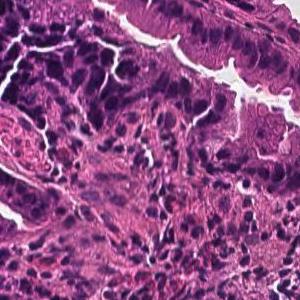
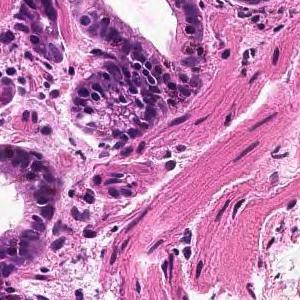
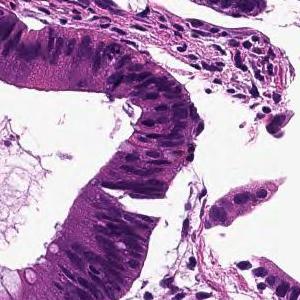
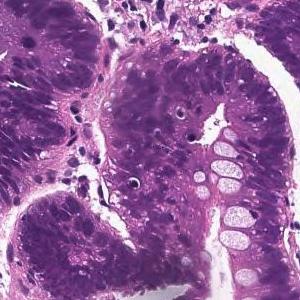
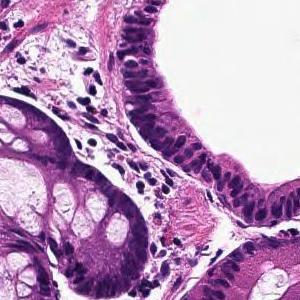
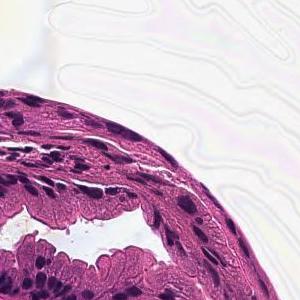
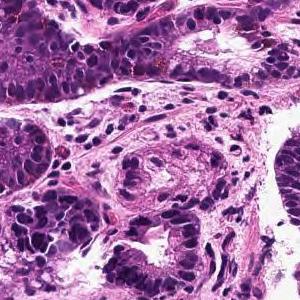
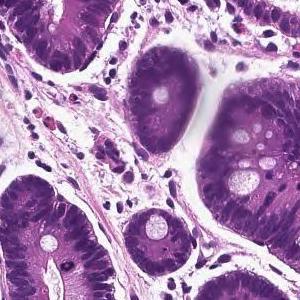
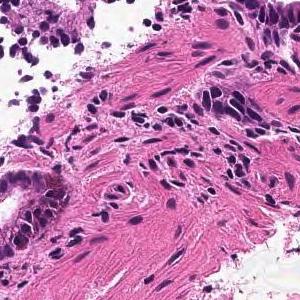
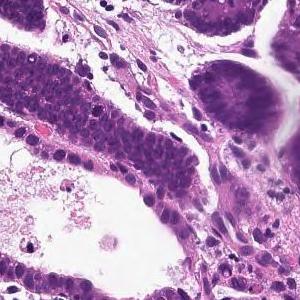
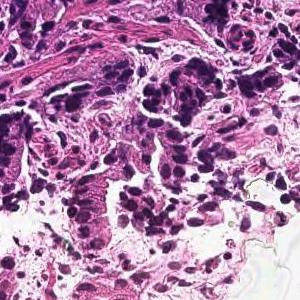
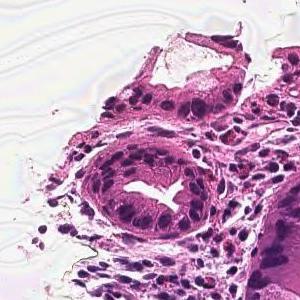
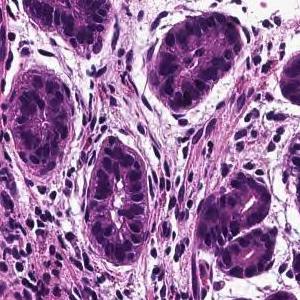
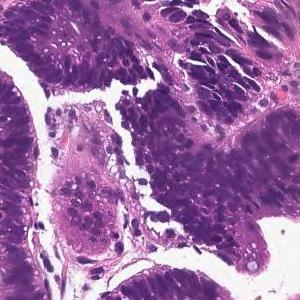
20× magnification · H&E stain · 14 tiles from the same stomach biopsy slide · 300 × 300 pixels each.
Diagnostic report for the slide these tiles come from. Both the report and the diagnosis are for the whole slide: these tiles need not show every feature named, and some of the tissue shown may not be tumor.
From the superficial epithelium to the muscularis mucosae, tumor tissue consisting of medium-sized and irregular glandular ducts infiltrating is observed. Well differentiated tubular adenocarcinoma
